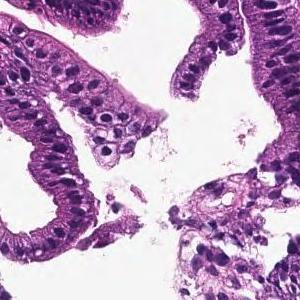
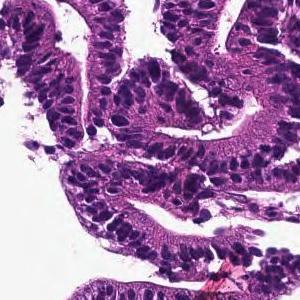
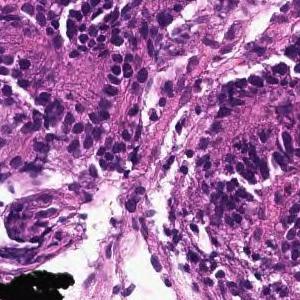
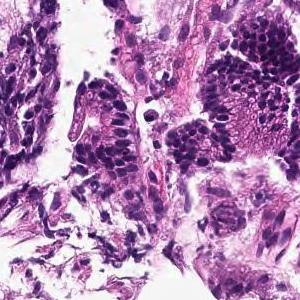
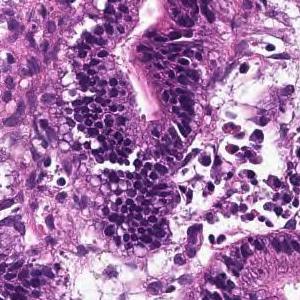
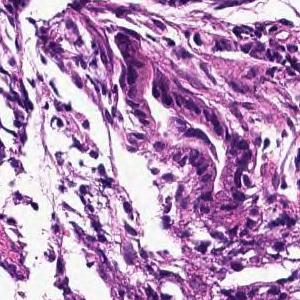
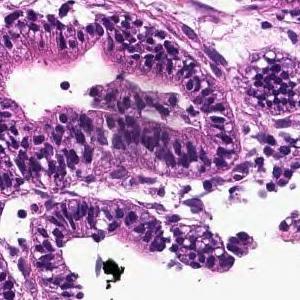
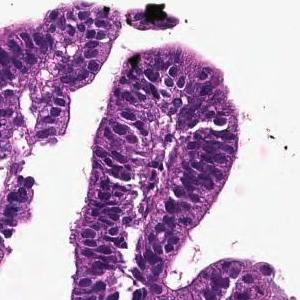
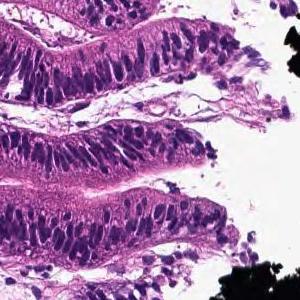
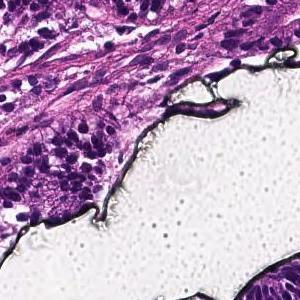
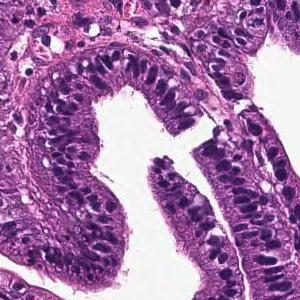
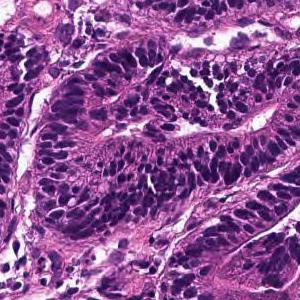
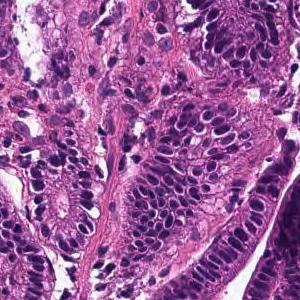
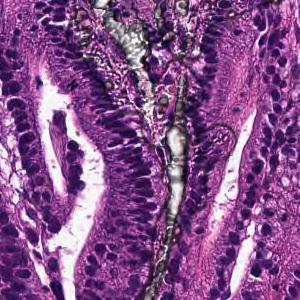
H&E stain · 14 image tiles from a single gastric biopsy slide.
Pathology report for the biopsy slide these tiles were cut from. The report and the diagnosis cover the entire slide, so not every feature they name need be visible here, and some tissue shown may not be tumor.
On the superficial epithelium, tumor tissue that infiltrates by forming medium-sized round or small irregular ducts is observed. Papillary adenocarcinoma
